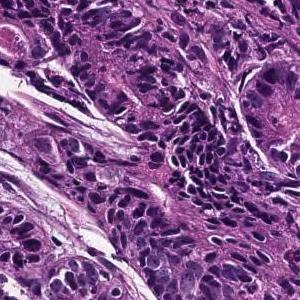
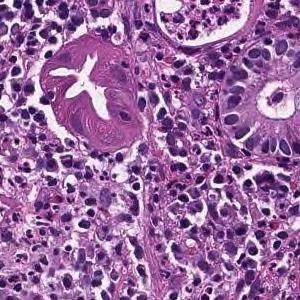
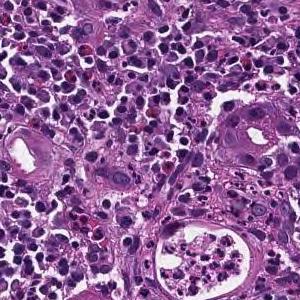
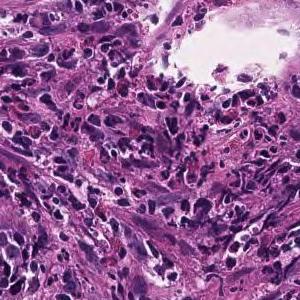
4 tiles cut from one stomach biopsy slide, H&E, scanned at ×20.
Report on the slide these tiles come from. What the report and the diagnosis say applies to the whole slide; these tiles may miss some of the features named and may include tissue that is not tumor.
On the superficial epithelium, tumor tissue consisting of large, irregular glandular ducts partially fused and infiltrated is observed. Well to moderately differentiated tubular adenocarcinoma (well differentiated tubular adenocarcinoma, moderately differentiated tubular adenocarcinoma)
Histologic type: Well to moderately differentiated tubular adenocarcinoma.
